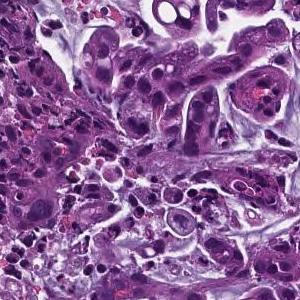
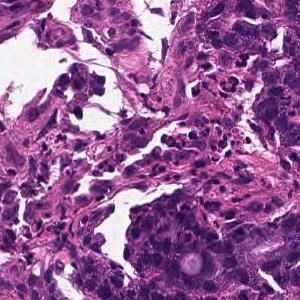
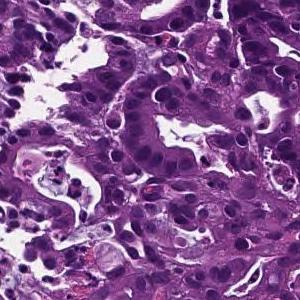
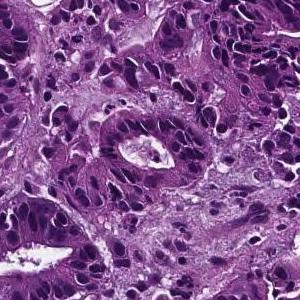
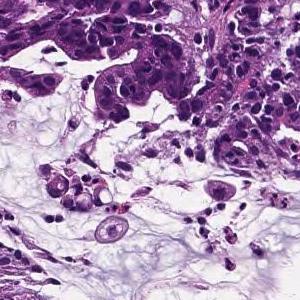
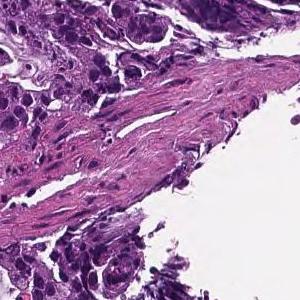
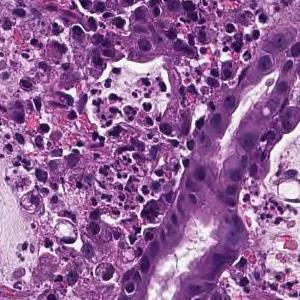
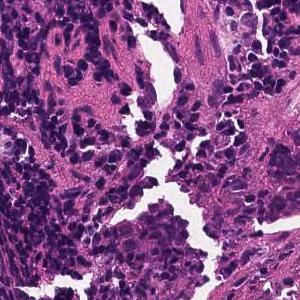
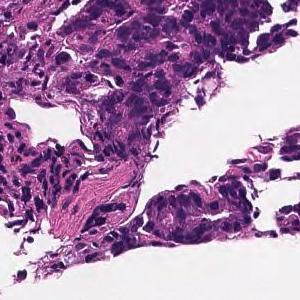
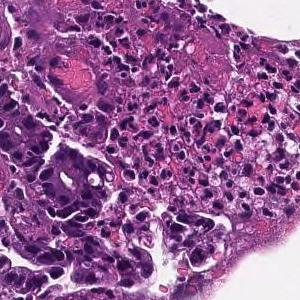
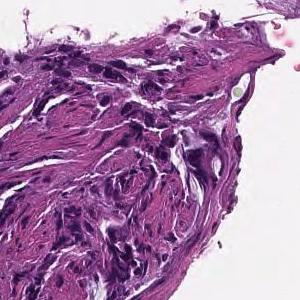
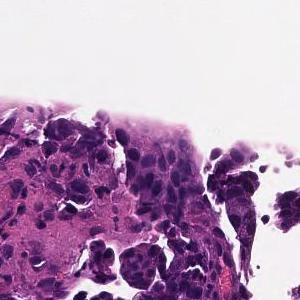
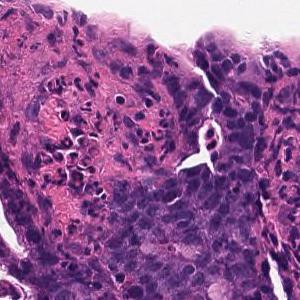
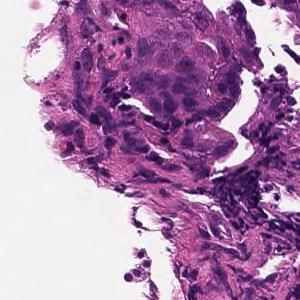
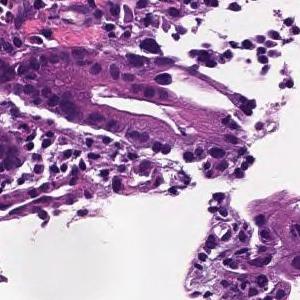
H&E stain, 20× magnification, 15 tiles from the same stomach biopsy slide, 300 × 300 pixels each.
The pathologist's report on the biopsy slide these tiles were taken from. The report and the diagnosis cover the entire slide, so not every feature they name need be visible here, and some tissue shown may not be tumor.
On the superficial epithelium, tumor tissue consisting of large irregular glandular ducts partially fused and infiltrated is observed. Well to moderately differentiated tubular adenocarcinoma (well differentiated tubular adenocarcinoma, moderately differentiated tubular adenocarcinoma)
Classified as well to moderately differentiated tubular adenocarcinoma.
